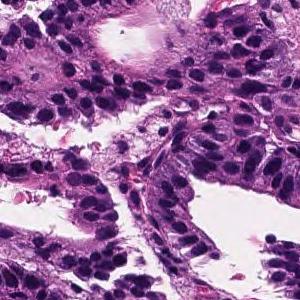
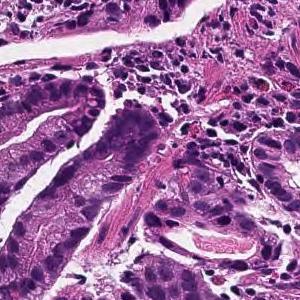
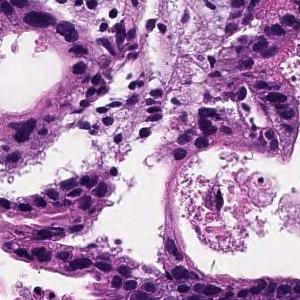
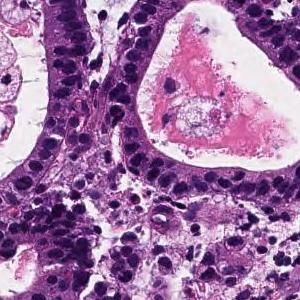
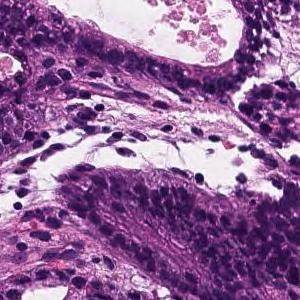
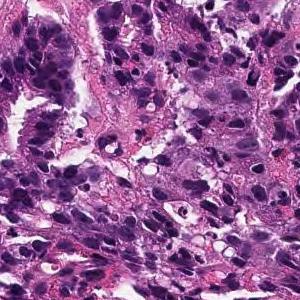
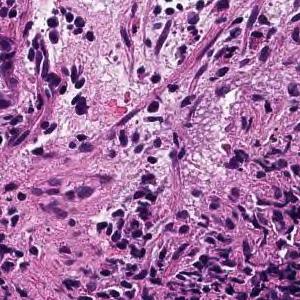
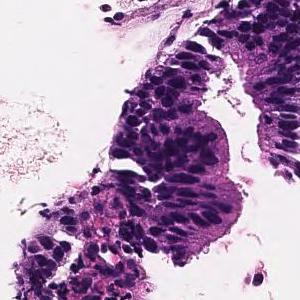
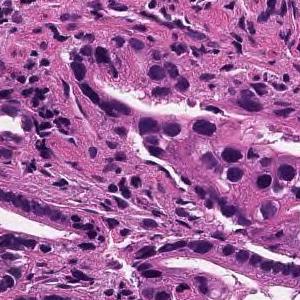
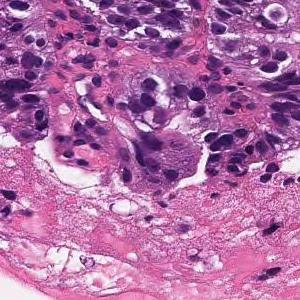
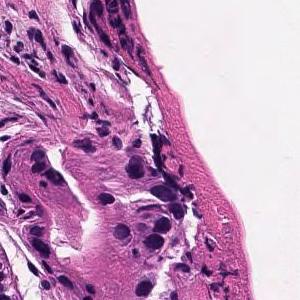
Hematoxylin and eosin stain, scanned at ×20, 11 image tiles from a single gastric biopsy slide, 300×300 px each.
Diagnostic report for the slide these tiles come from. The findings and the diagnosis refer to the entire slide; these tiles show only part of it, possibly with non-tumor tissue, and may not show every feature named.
From the superficial epithelium to the muscularis mucosae, tumor tissue consisting of medium-sized and irregular glandular ducts infiltrating is observed. Well differentiated tubular adenocarcinoma
